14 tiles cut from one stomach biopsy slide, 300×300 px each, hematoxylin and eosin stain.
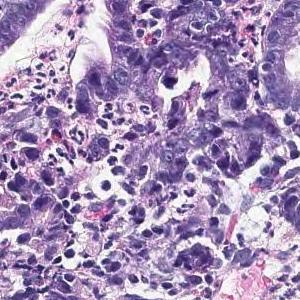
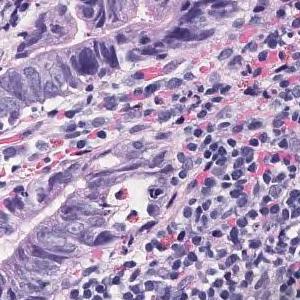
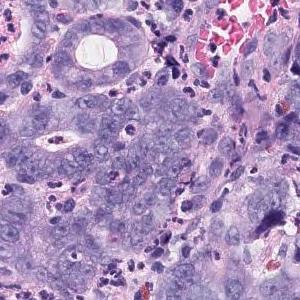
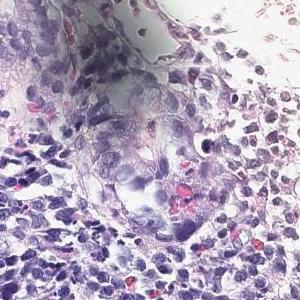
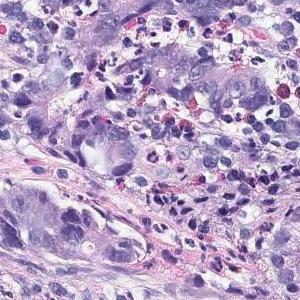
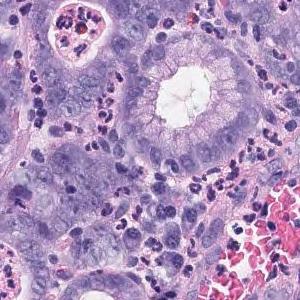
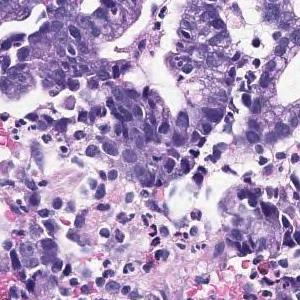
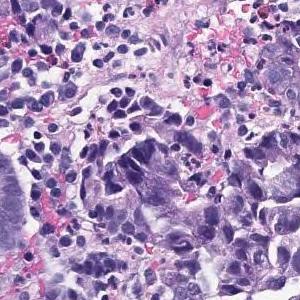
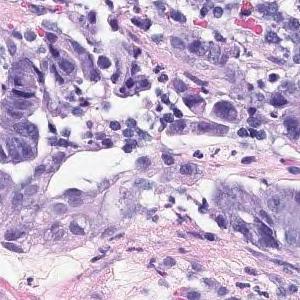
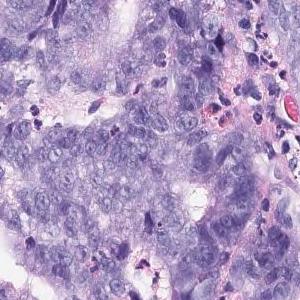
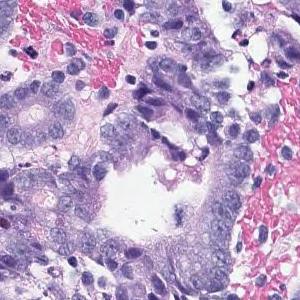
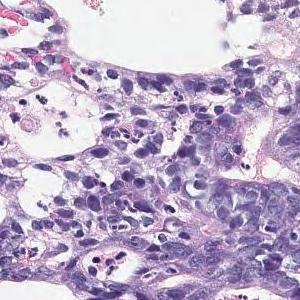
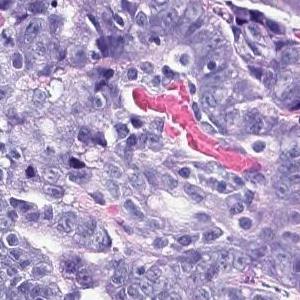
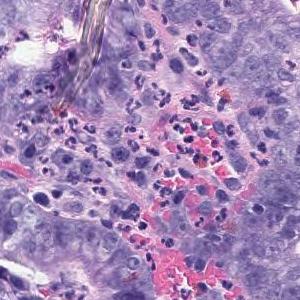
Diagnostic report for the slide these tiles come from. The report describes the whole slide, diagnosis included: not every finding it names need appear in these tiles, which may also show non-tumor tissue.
In the superficial epithelium, tumor tissue that invades by forming medium-sized to small, irregular ducts is observed. Moderately differentiated adenocarcinoma.
Tumor subtype: moderately differentiated tubular adenocarcinoma.
